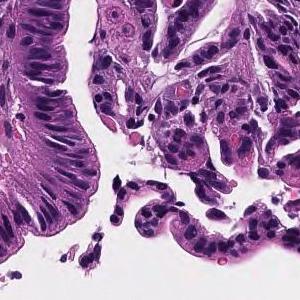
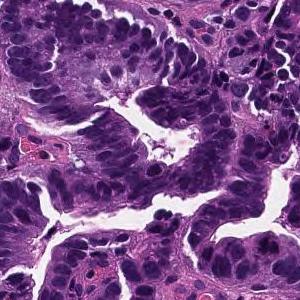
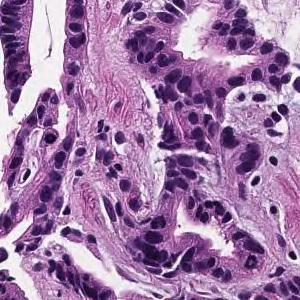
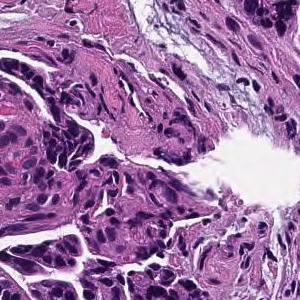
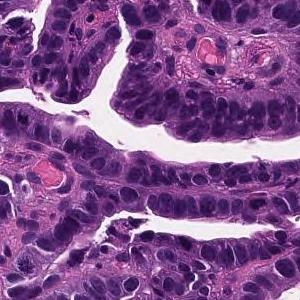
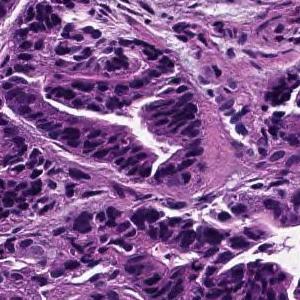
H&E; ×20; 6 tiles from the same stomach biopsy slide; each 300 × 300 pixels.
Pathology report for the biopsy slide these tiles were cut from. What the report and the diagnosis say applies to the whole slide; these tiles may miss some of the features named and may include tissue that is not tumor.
Tumor tissue consisting of large papillary structures is found in the superficial epithelium. Papillary adenocarcinoma.
